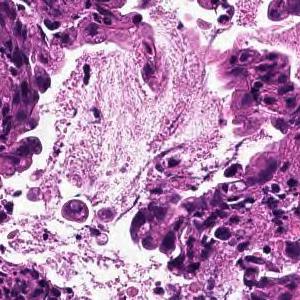
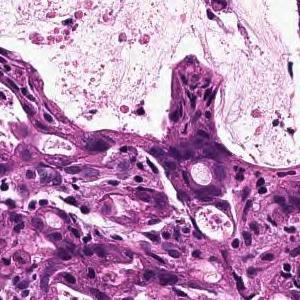
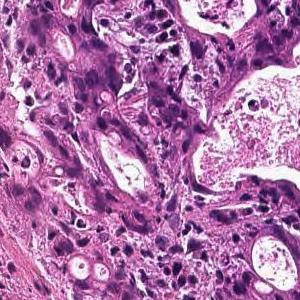
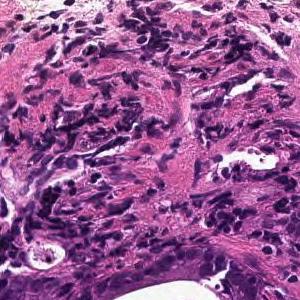
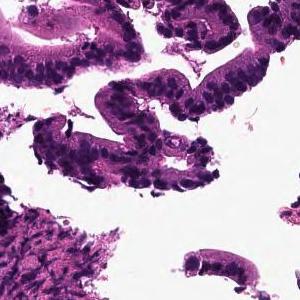
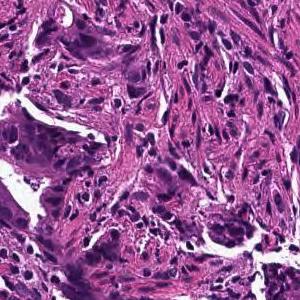
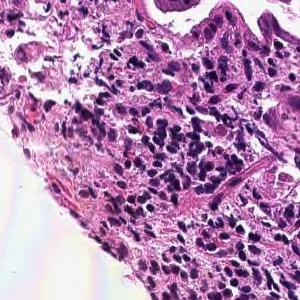
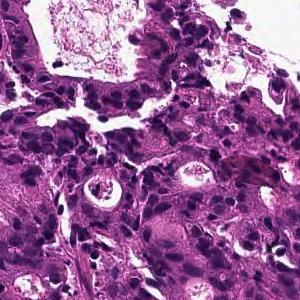
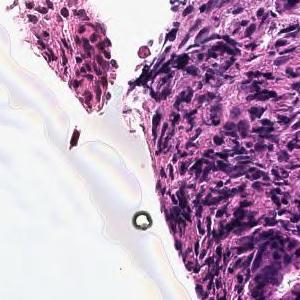
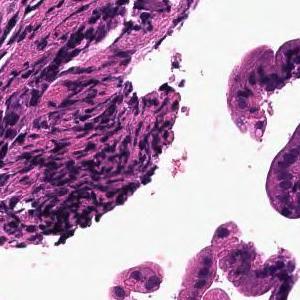
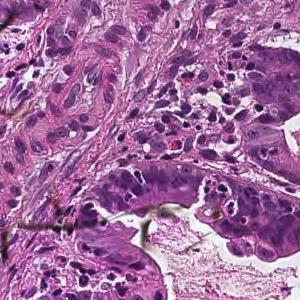
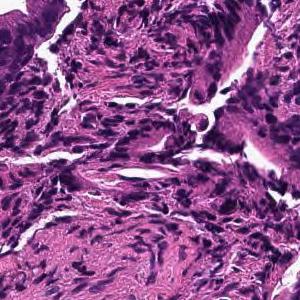
12 tiles cut from one stomach biopsy slide; each 300 × 300 pixels; ×20; H&E stain.
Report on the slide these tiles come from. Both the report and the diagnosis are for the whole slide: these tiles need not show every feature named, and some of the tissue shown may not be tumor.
In the superficial epithelium, tumor tissue that invades by forming medium-sized to small, irregular ducts is observed. moderately differentiated tubular adenocarcinoma.
